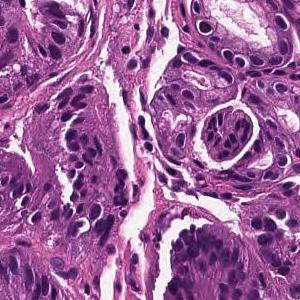
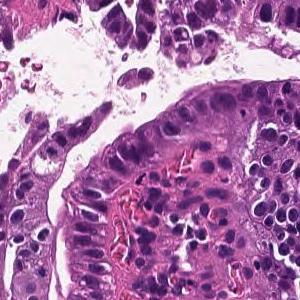
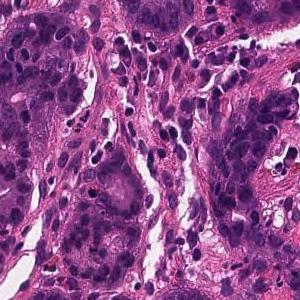
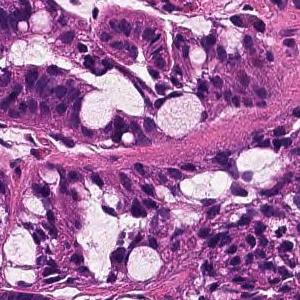
4 tiles cut from one stomach biopsy slide · 300 × 300 pixels each · H&E stain.
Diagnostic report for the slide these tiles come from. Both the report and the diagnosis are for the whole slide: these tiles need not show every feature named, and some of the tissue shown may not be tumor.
On the superficial epithelium, tumor tissue that infiltrates by forming medium-sized papillary or small irregular ducts is observed. Papillary adenocarcinoma
